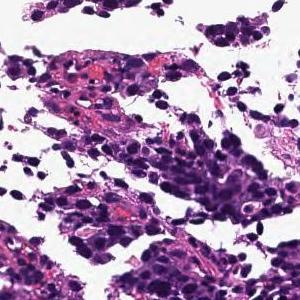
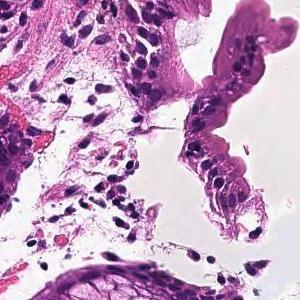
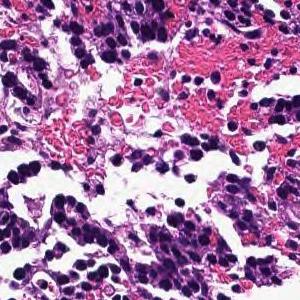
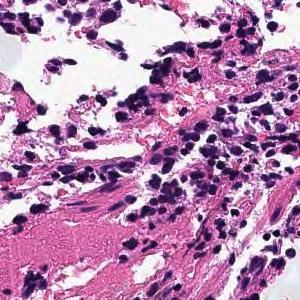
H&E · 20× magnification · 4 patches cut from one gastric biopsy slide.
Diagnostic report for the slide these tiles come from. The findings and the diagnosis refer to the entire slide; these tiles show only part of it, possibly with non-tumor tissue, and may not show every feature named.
In the superficial epithelium, tumor tissue that invades by forming medium-sized to small, irregular ducts is observed. moderately differentiated tubular adenocarcinoma.
